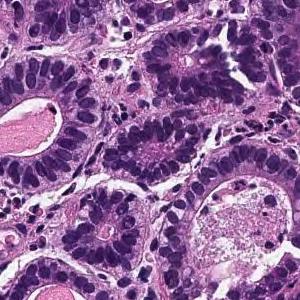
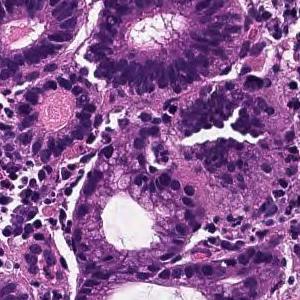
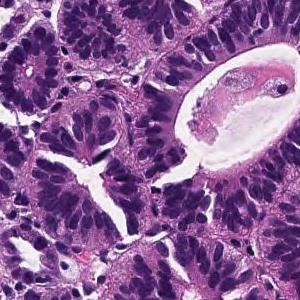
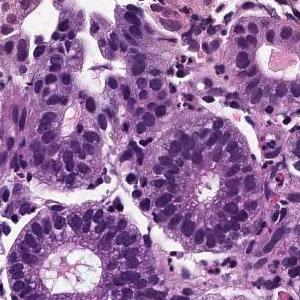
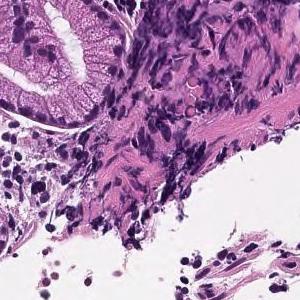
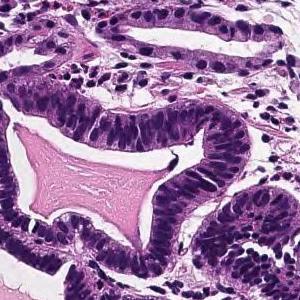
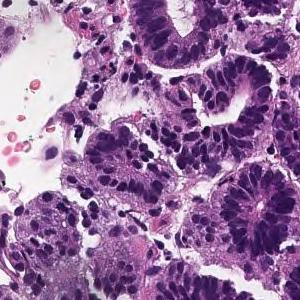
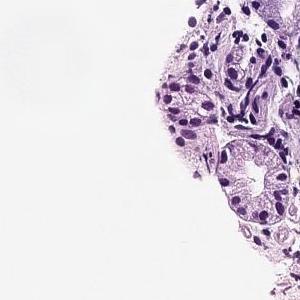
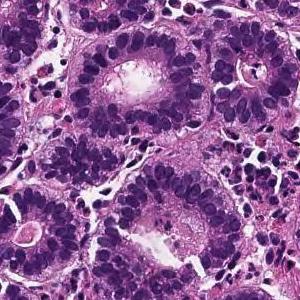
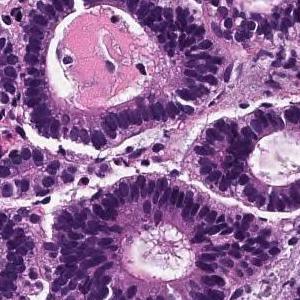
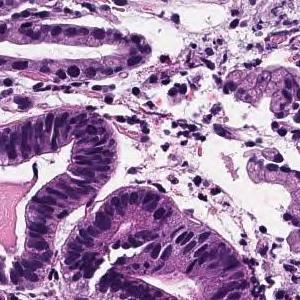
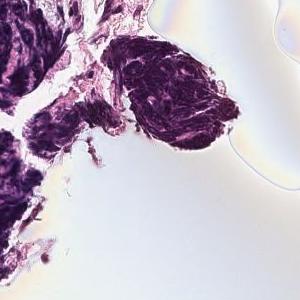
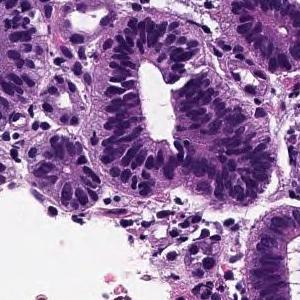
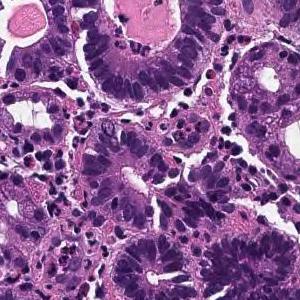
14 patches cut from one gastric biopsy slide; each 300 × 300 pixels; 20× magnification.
Pathology report for the slide these tiles were cut from. The report and the diagnosis cover the entire slide, so not every feature they name need be visible here, and some tissue shown may not be tumor.
From the superficial epithelium to the muscularis mucosae, tumor tissue consisting of medium-sized and irregular glandular ducts infiltrating is observed. Well differentiated tubular adenocarcinoma
